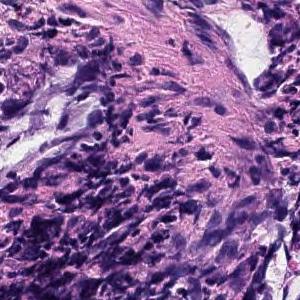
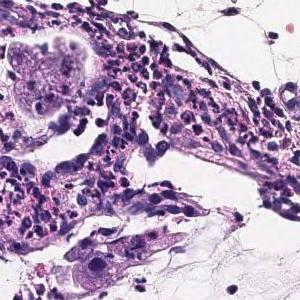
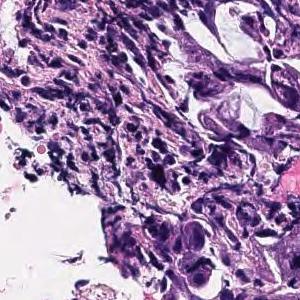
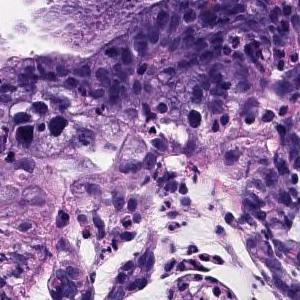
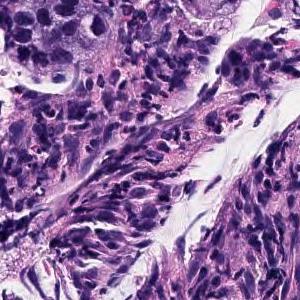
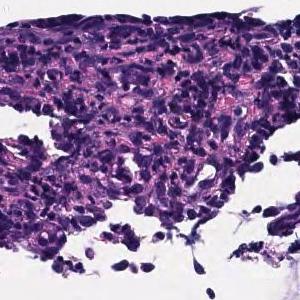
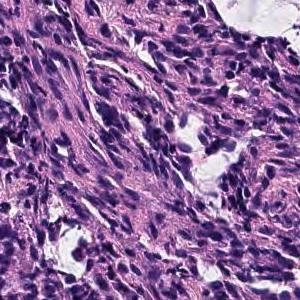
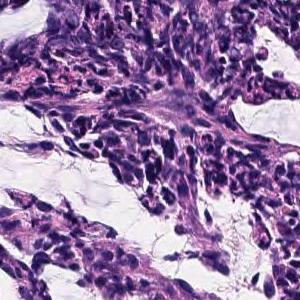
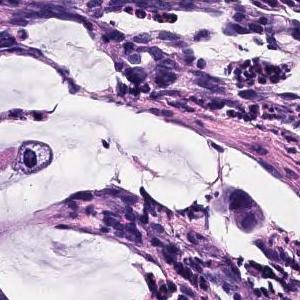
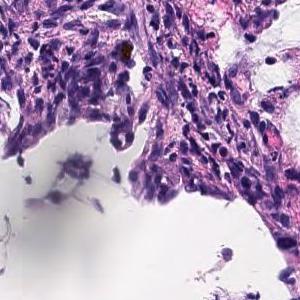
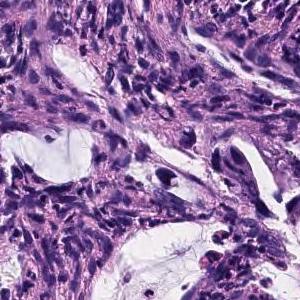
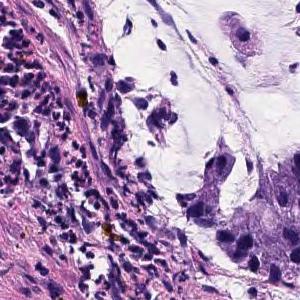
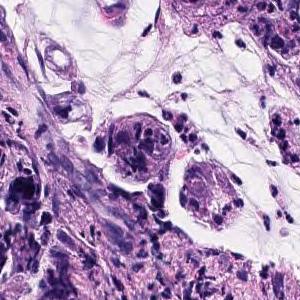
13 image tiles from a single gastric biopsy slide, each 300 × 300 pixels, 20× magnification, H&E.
Diagnostic report for the slide these tiles come from. The report describes the whole slide, diagnosis included: not every finding it names need appear in these tiles, which may also show non-tumor tissue.
The superficial epithelium shows small cord-like infiltrating tumor tissue. Some part of neoplastic cells are signet ring cell type which show single invasion manner. Poorly differentiated adenocarcinoma, non-solid type.
The term "non-solid type" comes from the Japanese Classification of Gastric Carcinoma.
